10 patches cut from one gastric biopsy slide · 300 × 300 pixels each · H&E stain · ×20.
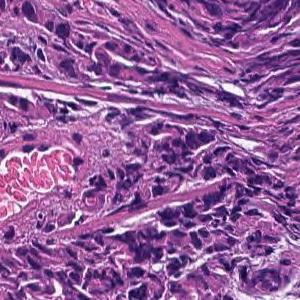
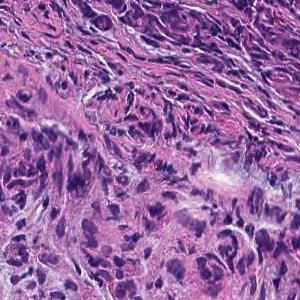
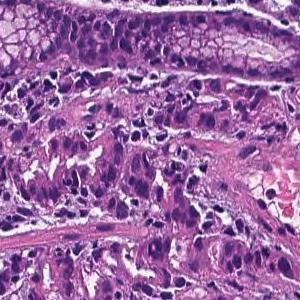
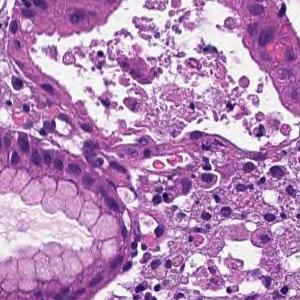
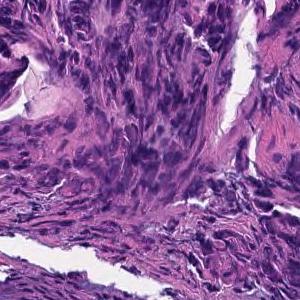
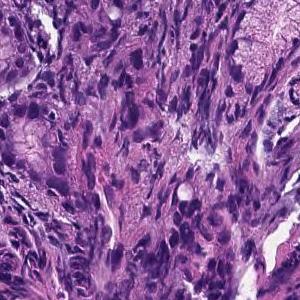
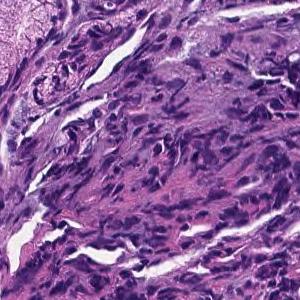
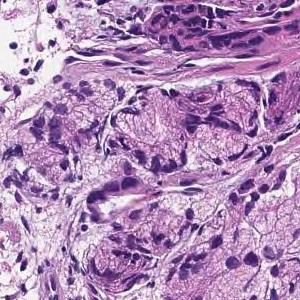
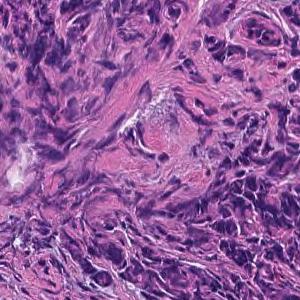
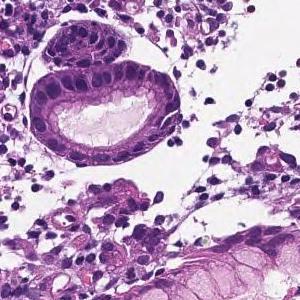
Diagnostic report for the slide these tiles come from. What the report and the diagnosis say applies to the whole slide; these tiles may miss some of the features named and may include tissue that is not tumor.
Tumor tissue consisting of medium-sized, cord-like or irregular glandular infiltration is observed in the superficial epithelium. Poorly differentiated adenocarcinoma, non-solid type or moderately differentiated tubular adenocarcinoma
Histological subtype: Moderately to poorly differentiated adenocarcinoma.
"Non-solid type" is a category of the Japanese Classification of Gastric Carcinoma.
